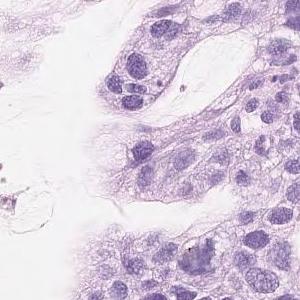
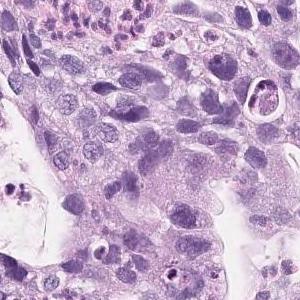
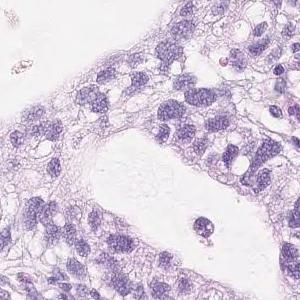
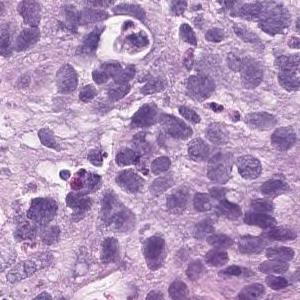
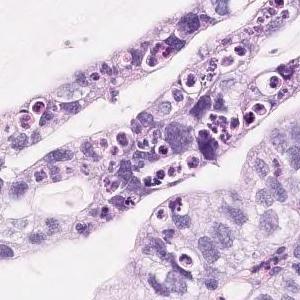
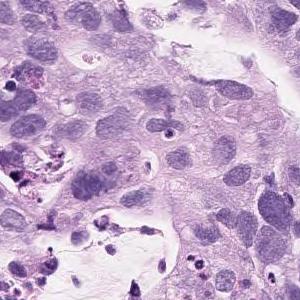
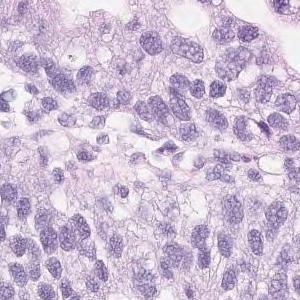
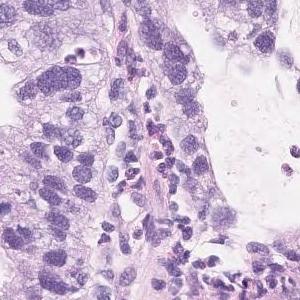
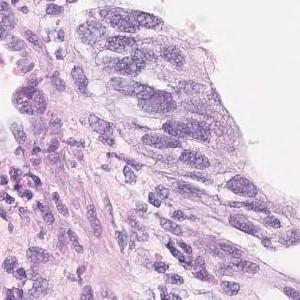
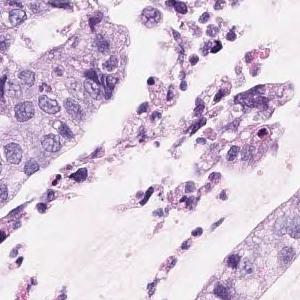
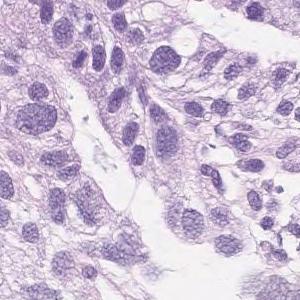
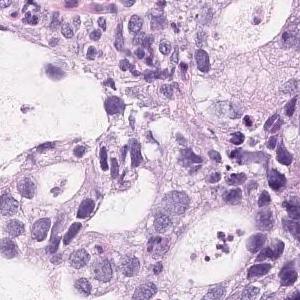
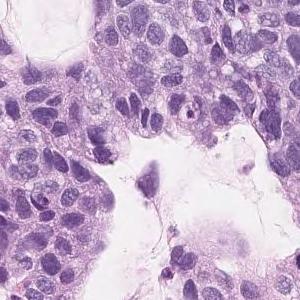
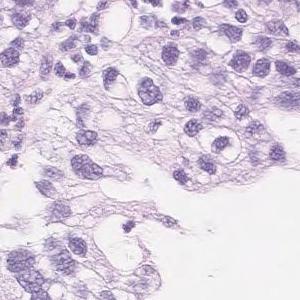
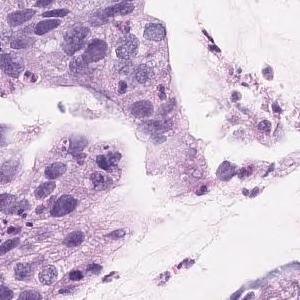
Hematoxylin and eosin stain; scanned at ×20; 15 patches cut from one gastric biopsy slide; each 300 × 300 pixels.
Pathology report for the slide these tiles were cut from. Both the report and the diagnosis are for the whole slide: these tiles need not show every feature named, and some of the tissue shown may not be tumor.
On the superficial epithelium, tumor tissue consisting of large, irregular glandular ducts partially fused and infiltrated is observed. Well to moderately differentiated tubular adenocarcinoma (well differentiated tubular adenocarcinoma, moderately differentiated tubular adenocarcinoma)
Classified as well to moderately differentiated tubular adenocarcinoma.
